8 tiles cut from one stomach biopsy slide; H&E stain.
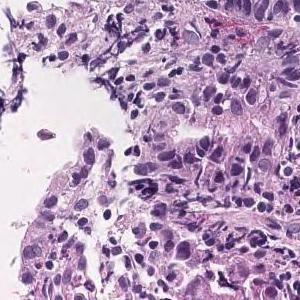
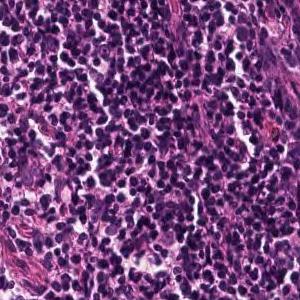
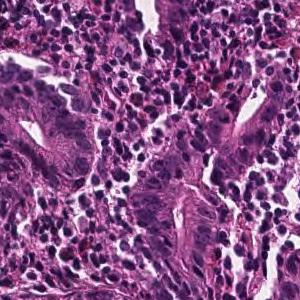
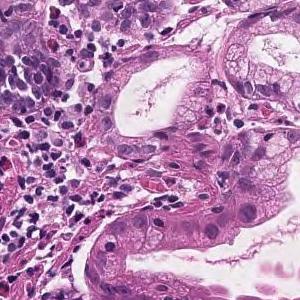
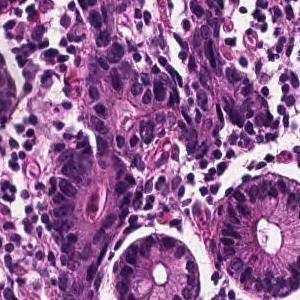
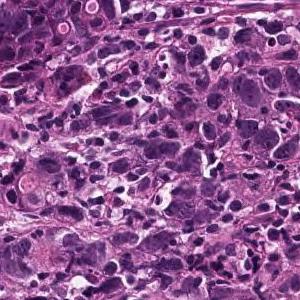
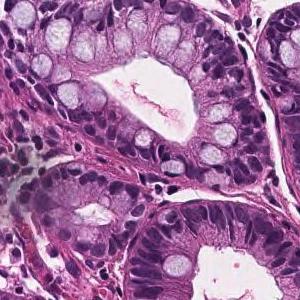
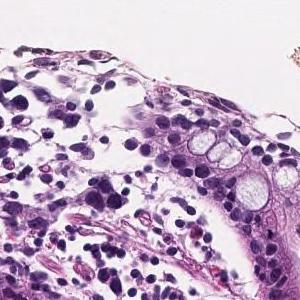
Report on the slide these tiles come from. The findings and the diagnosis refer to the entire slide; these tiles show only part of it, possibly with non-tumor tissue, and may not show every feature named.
Tumor tissue consisting of medium-sized, cord-like or irregular glandular infiltration is observed in the superficial epithelium. Poorly differentiated adenocarcinoma, non-solid type or moderately differentiated tubular adenocarcinoma
Histologic type: Moderately to poorly differentiated adenocarcinoma.
"Non-solid type" is a category of the Japanese Classification of Gastric Carcinoma.
